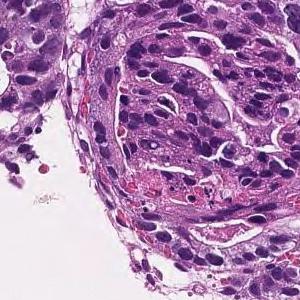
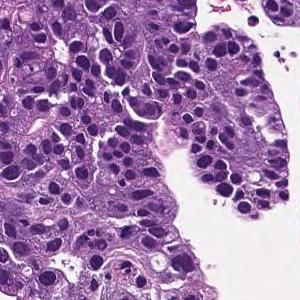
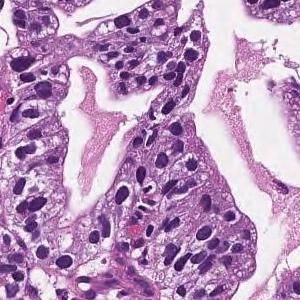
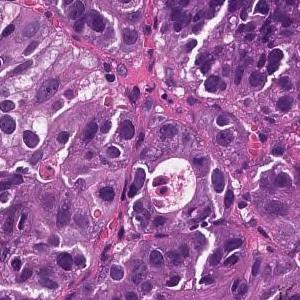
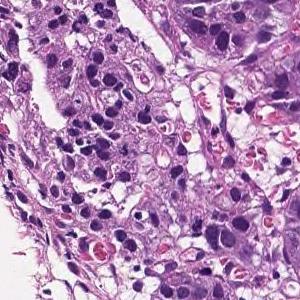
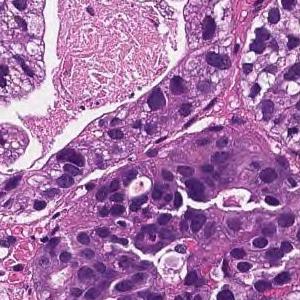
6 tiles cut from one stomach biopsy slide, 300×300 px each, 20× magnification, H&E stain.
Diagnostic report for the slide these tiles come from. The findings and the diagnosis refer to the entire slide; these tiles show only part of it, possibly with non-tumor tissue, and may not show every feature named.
On the superficial epithelium, tumor tissue consisting of large, irregular glandular ducts partially fused and infiltrated is observed. Well to moderately differentiated tubular adenocarcinoma (well differentiated tubular adenocarcinoma, moderately differentiated tubular adenocarcinoma)
Histologic type: Well to moderately differentiated tubular adenocarcinoma.
